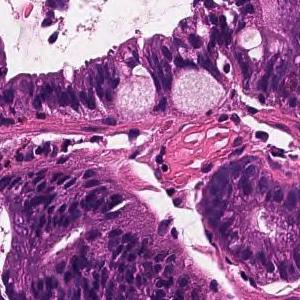
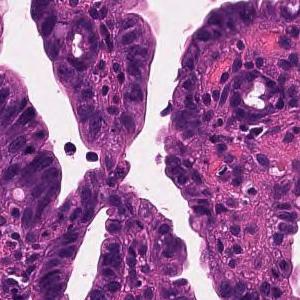
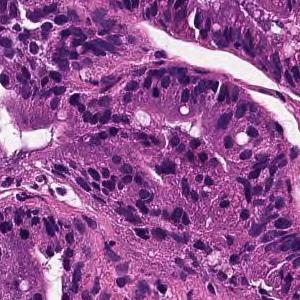
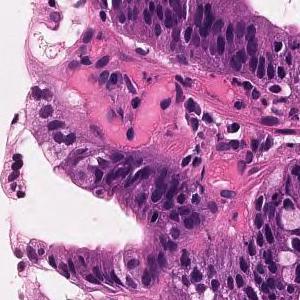
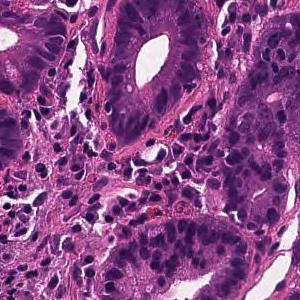
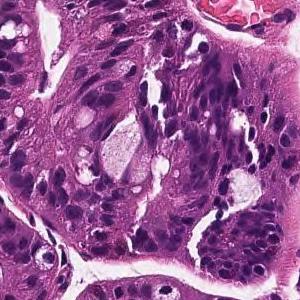
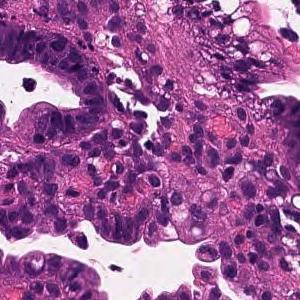
7 patches cut from one gastric biopsy slide · 20× magnification · hematoxylin and eosin stain.
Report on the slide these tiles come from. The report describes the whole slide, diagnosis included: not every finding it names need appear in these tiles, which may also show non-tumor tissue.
On the superficial epithelium, tumor tissue that infiltrates by forming medium-sized papillary or small irregular ducts is observed. Papillary adenocarcinoma
